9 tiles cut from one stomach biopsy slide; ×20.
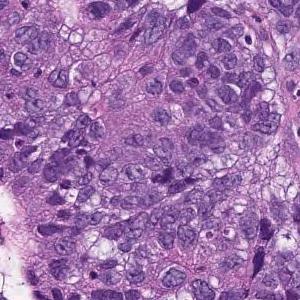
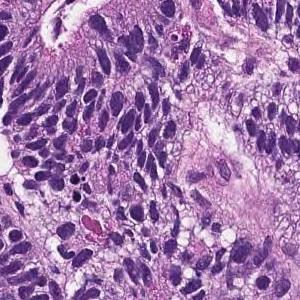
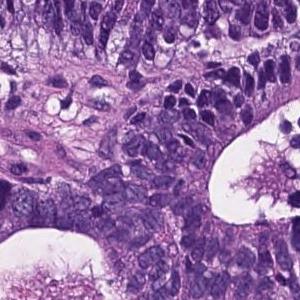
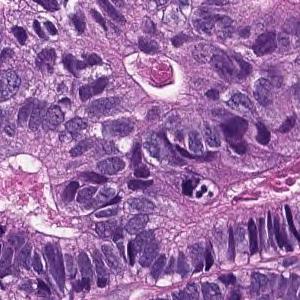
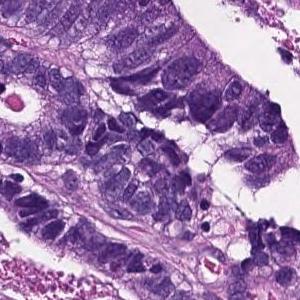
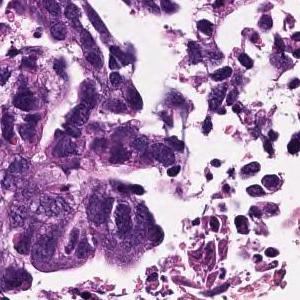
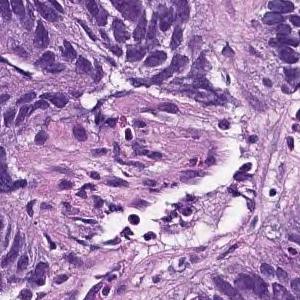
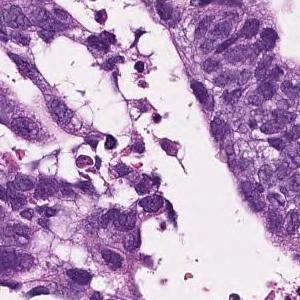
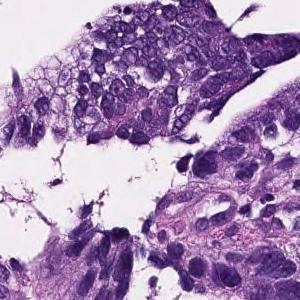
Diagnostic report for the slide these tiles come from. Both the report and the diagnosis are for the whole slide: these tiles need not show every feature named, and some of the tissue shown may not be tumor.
In the superficial epithelium, tumor tissue that invades by forming medium-sized to small, irregular ducts is observed. moderately differentiated tubular adenocarcinoma.
